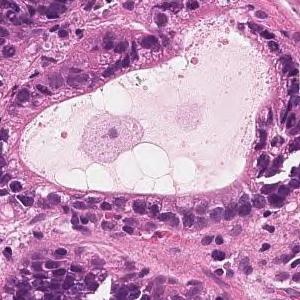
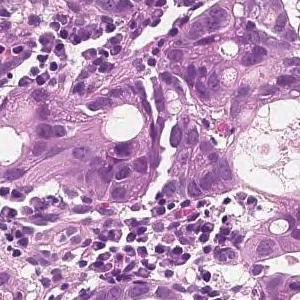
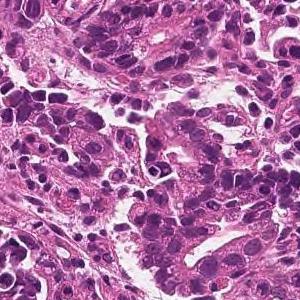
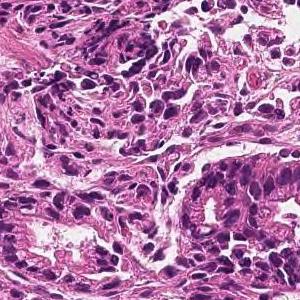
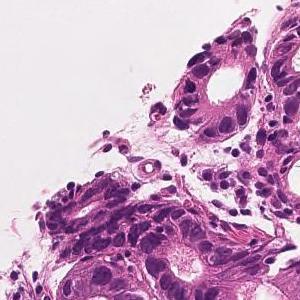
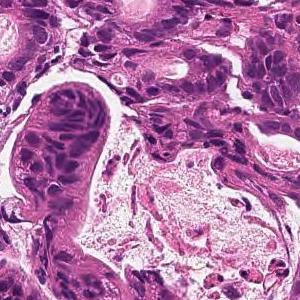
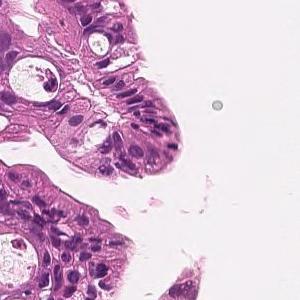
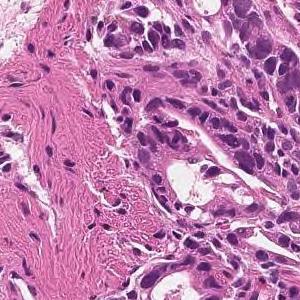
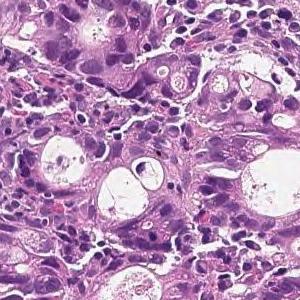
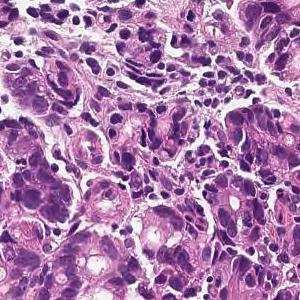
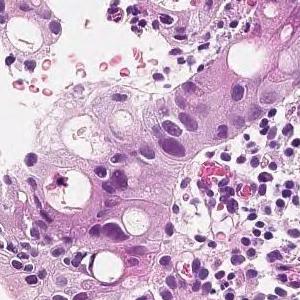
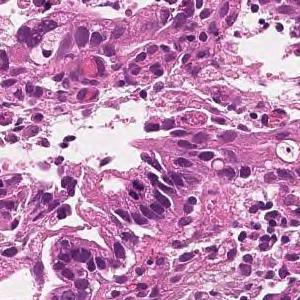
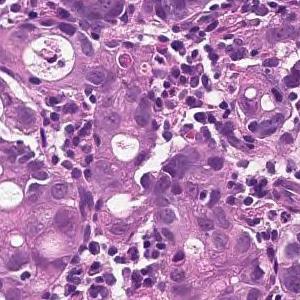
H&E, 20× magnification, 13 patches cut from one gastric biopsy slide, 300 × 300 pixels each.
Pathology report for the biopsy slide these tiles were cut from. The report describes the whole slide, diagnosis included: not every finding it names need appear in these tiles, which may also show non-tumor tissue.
On the superficial epithelium, tumor tissue is found in which medium-sized irregular gland ducts fuse with each other and infiltrate. moderately differentiated tubular adenocarcinoma
